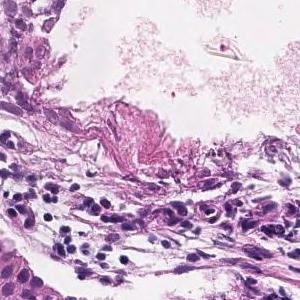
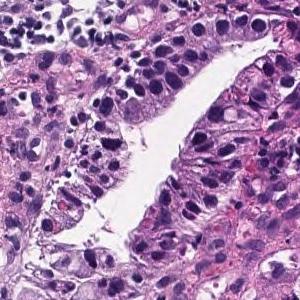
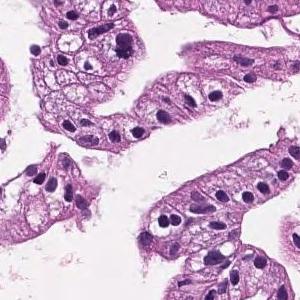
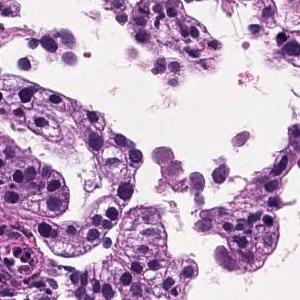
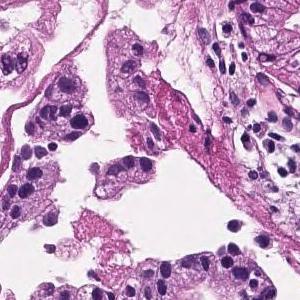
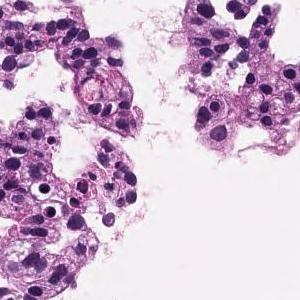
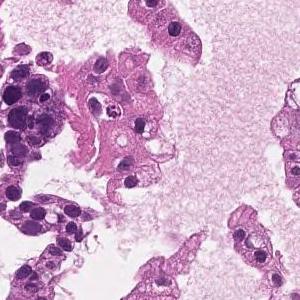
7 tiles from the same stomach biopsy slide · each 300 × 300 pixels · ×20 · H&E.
Report on the slide these tiles come from. The report and the diagnosis cover the entire slide, so not every feature they name need be visible here, and some tissue shown may not be tumor.
On the superficial epithelium, tumor tissue that infiltrates by forming medium-sized papillary or small irregular ducts is observed. Papillary adenocarcinoma
